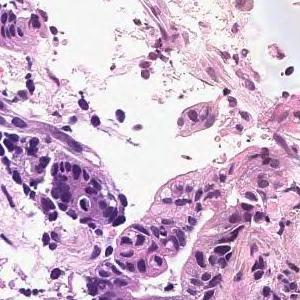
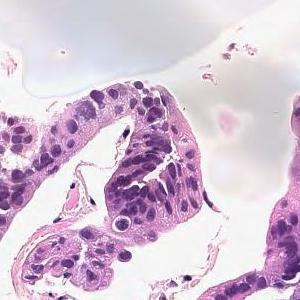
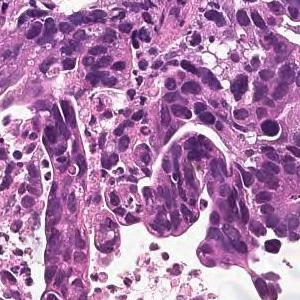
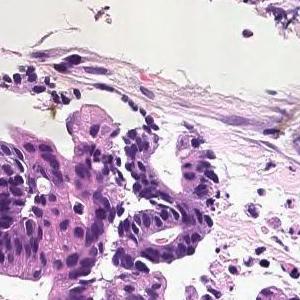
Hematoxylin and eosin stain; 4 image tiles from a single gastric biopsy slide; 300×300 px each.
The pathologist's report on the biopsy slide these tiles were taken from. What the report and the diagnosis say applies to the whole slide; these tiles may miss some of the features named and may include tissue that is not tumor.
In the superficial epithelium, tumor tissue that invades by forming medium-sized to small, irregular ducts is observed. moderately differentiated tubular adenocarcinoma.
